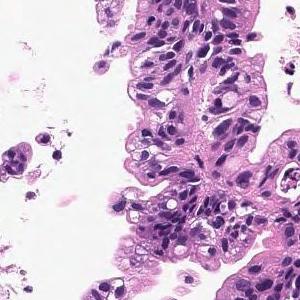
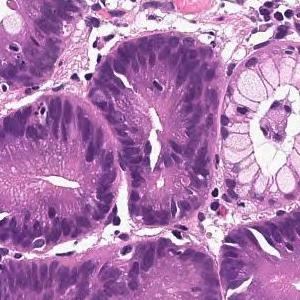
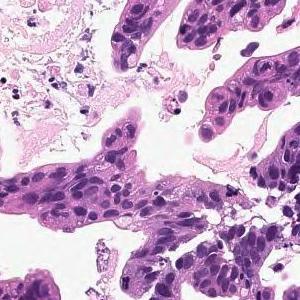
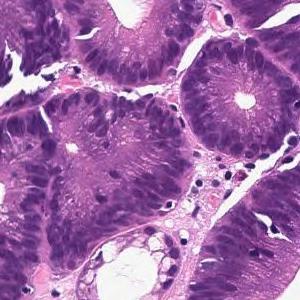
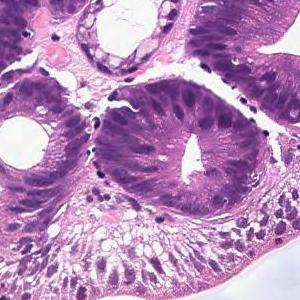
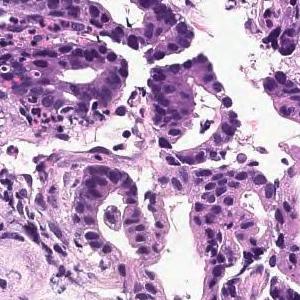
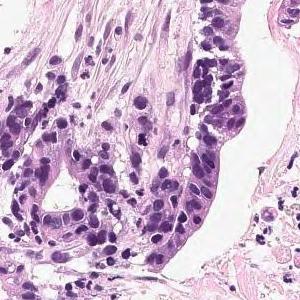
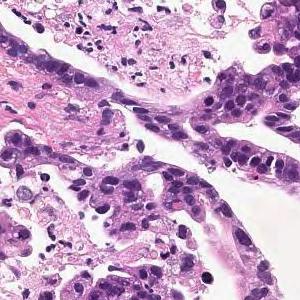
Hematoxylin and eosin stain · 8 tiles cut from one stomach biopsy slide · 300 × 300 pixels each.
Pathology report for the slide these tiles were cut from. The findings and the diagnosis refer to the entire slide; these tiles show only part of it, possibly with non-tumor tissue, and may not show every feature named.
In the superficial epithelium, tumor tissue that invades by forming medium-sized to small, irregular ducts is observed. moderately differentiated tubular adenocarcinoma.
